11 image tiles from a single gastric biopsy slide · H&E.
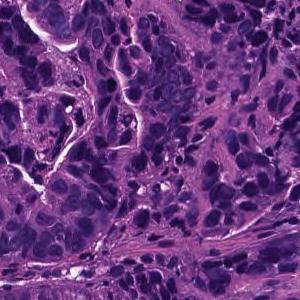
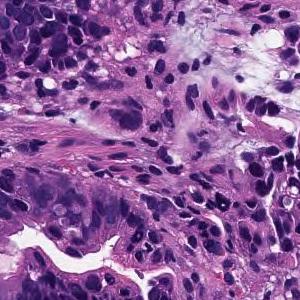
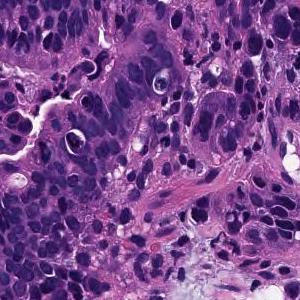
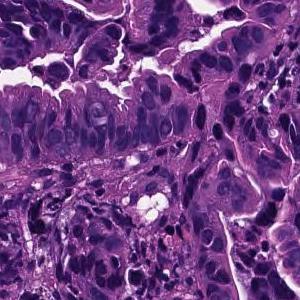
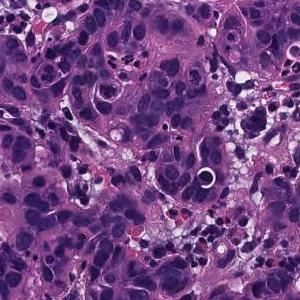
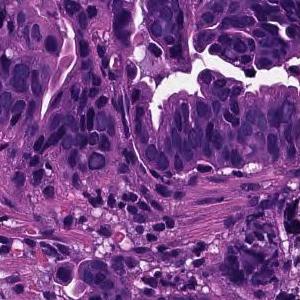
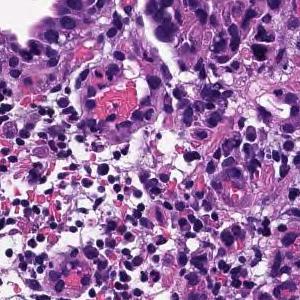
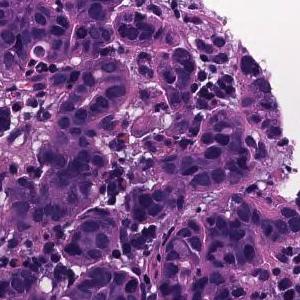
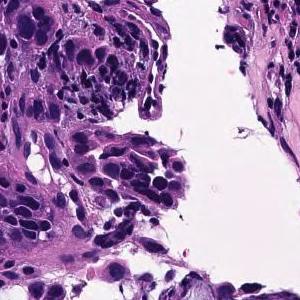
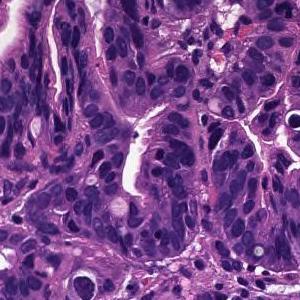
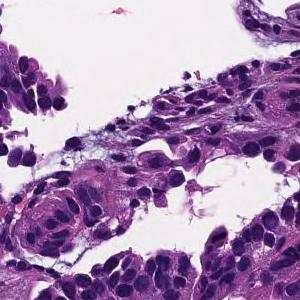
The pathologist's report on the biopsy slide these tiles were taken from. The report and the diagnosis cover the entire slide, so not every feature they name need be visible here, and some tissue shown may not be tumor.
Tumor tissue consisting of medium-sized, cord-like or irregular glandular infiltration is observed in the superficial epithelium. Poorly differentiated adenocarcinoma, non-solid type or moderately differentiated tubular adenocarcinoma
Tumor subtype: moderately to poorly differentiated adenocarcinoma.
The non-solid type named here is a Japanese Classification of Gastric Carcinoma category.
